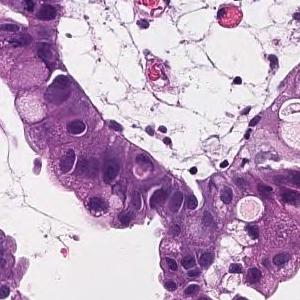
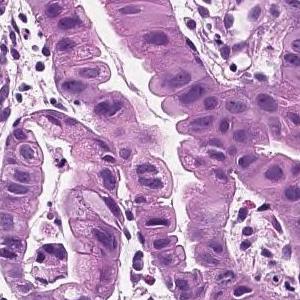
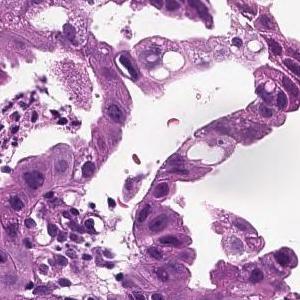
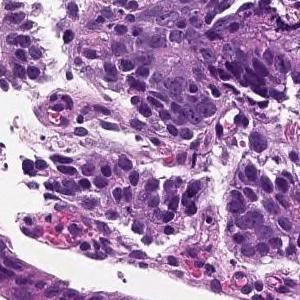
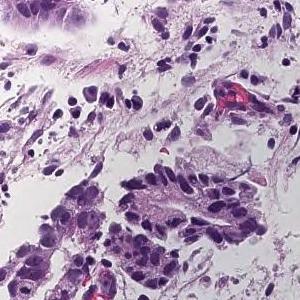
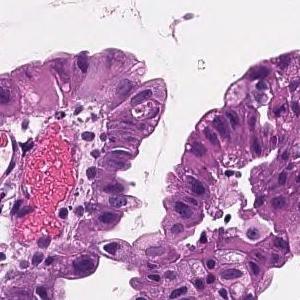
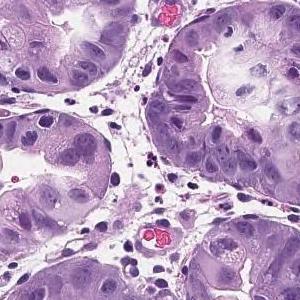
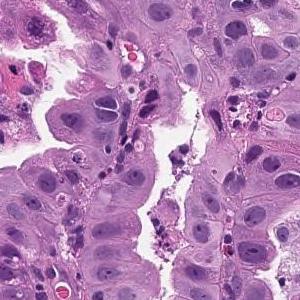
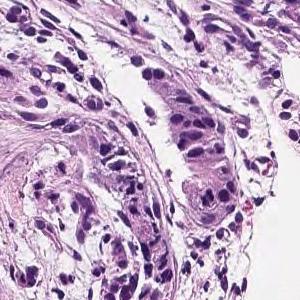
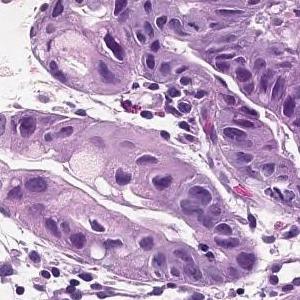
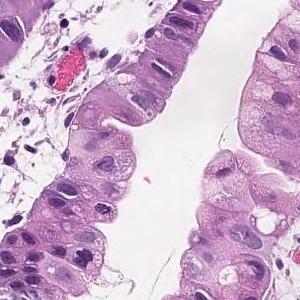
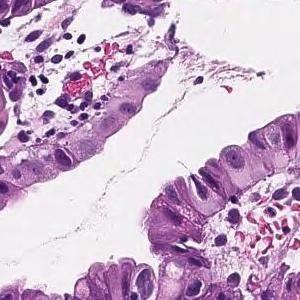
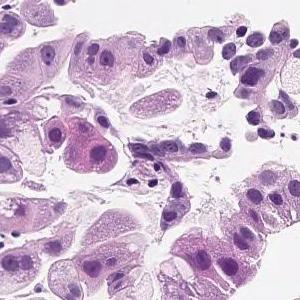
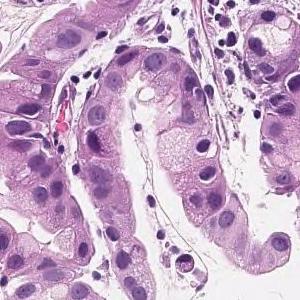
Hematoxylin and eosin stain · 14 image tiles from a single gastric biopsy slide · each 300 × 300 pixels.
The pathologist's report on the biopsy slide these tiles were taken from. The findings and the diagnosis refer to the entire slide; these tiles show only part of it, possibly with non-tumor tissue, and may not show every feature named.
On the superficial epithelium, tumor tissue that infiltrates by forming medium-sized papillary or small irregular ducts is observed. Papillary adenocarcinoma
